6 tiles from the same stomach biopsy slide; scanned at ×20; hematoxylin and eosin stain.
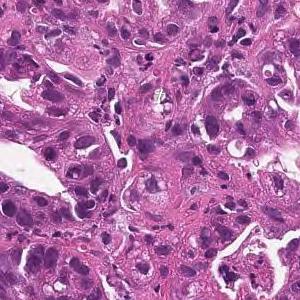
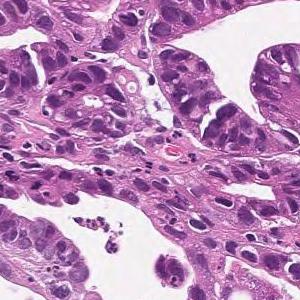
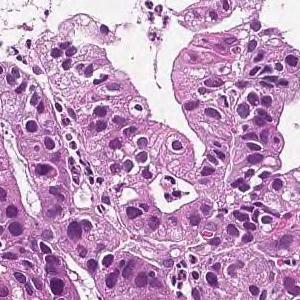
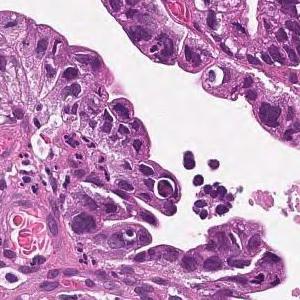
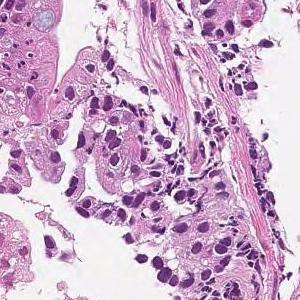
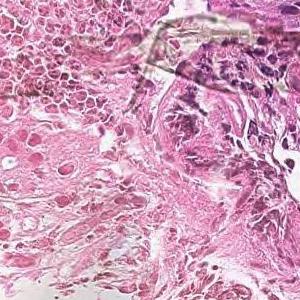
The pathologist's report on the biopsy slide these tiles were taken from. Both the report and the diagnosis are for the whole slide: these tiles need not show every feature named, and some of the tissue shown may not be tumor.
On the superficial epithelium, tumor tissue that infiltrates by forming medium-sized papillary or small irregular ducts is observed. Papillary adenocarcinoma
